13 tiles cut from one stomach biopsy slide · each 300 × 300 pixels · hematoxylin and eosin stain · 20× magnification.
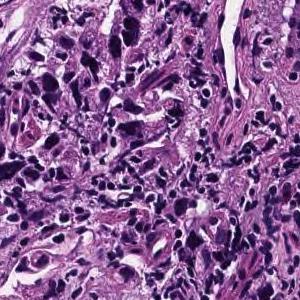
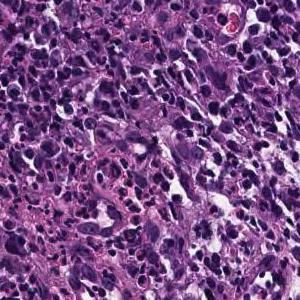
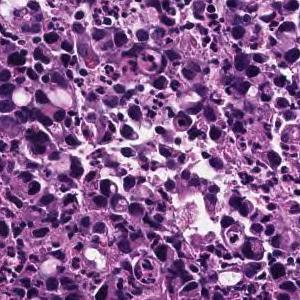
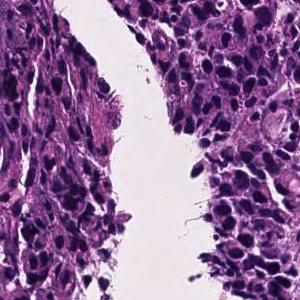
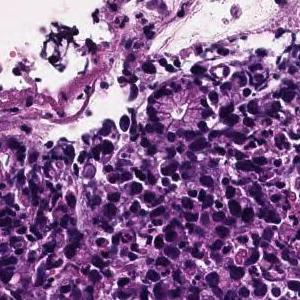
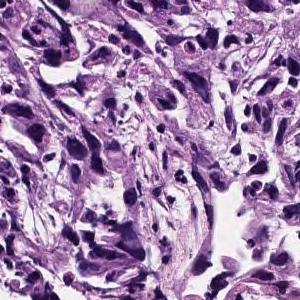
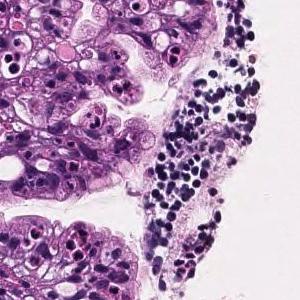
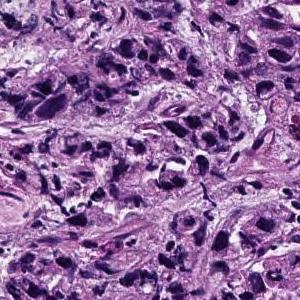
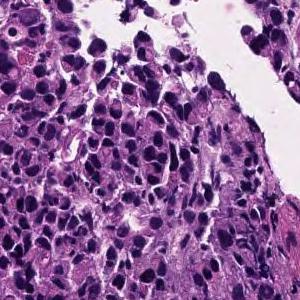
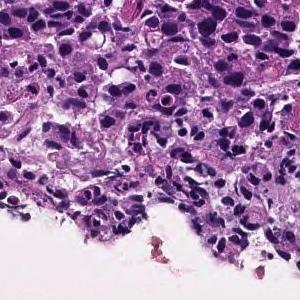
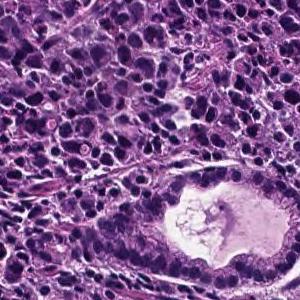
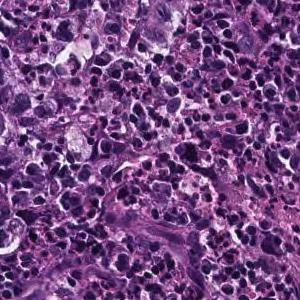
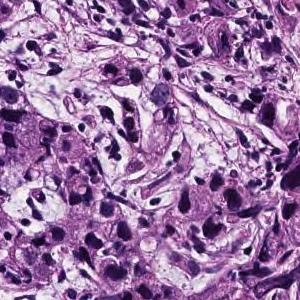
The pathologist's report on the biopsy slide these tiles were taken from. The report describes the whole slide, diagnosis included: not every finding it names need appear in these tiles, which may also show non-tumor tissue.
The superficial epithelium shows a large sheet-like shape, and some tumor tissue infiltrates with small irregular ducts. Poorly differentiated adenocarcinoma, solid-type
Classified as poorly differentiated adenocarcinoma, solid type (Japanese Classification of Gastric Carcinoma). The WHO 2019 equivalent is tubular adenocarcinoma, poorly differentiated.
